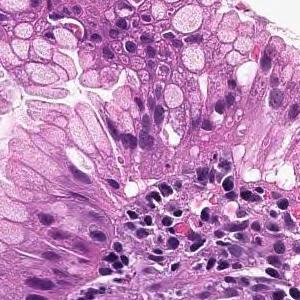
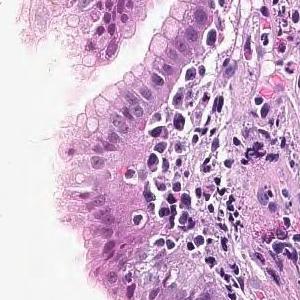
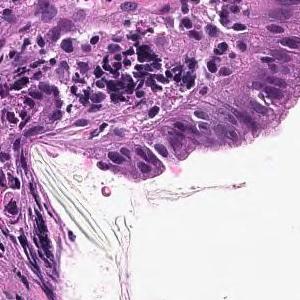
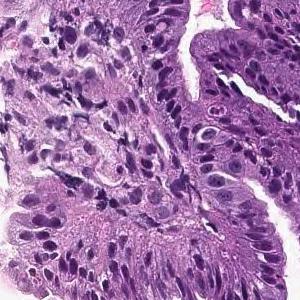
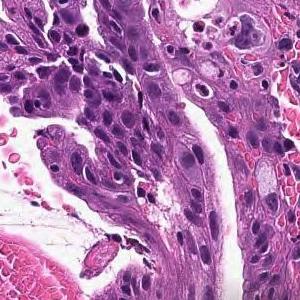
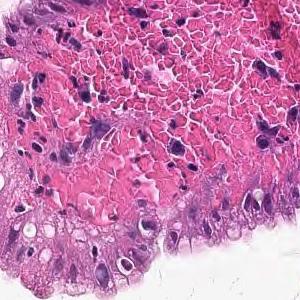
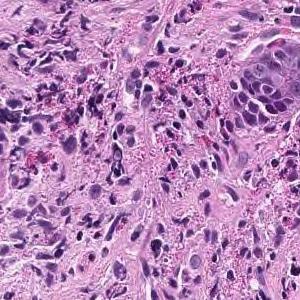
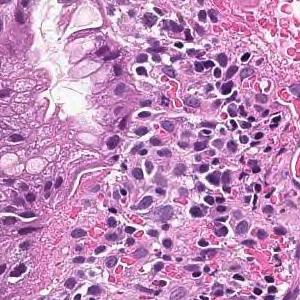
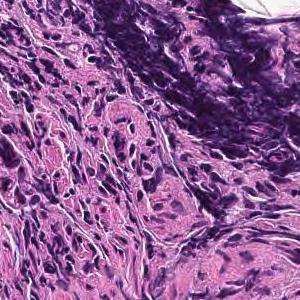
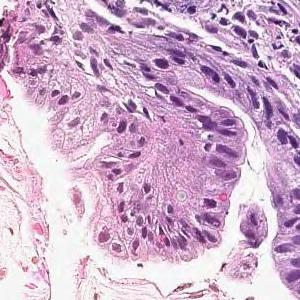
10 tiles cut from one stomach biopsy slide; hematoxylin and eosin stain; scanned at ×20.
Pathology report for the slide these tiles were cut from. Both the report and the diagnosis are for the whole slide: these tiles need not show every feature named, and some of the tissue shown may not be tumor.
In the superficial epithelium, tumor tissue that invades by forming medium-sized to small, irregular ducts is observed. moderately differentiated tubular adenocarcinoma.
